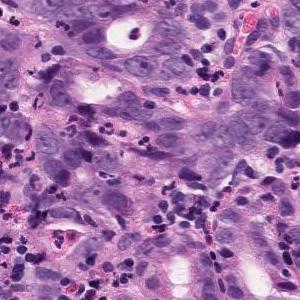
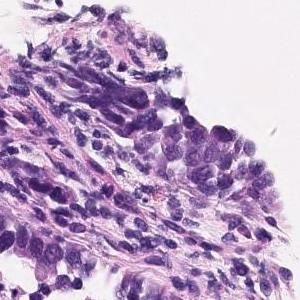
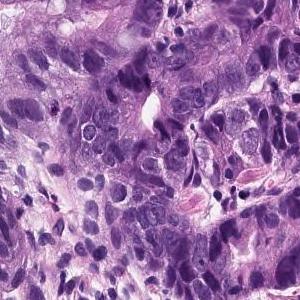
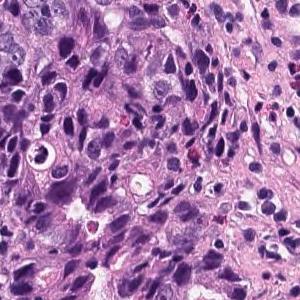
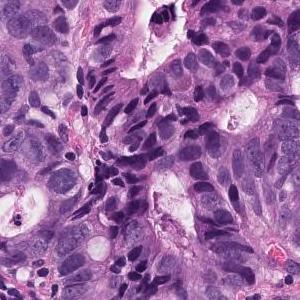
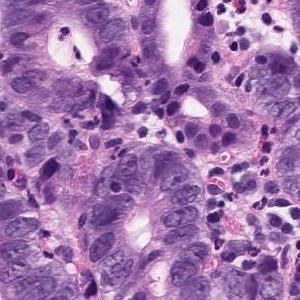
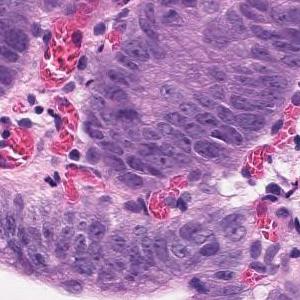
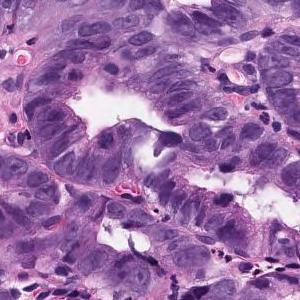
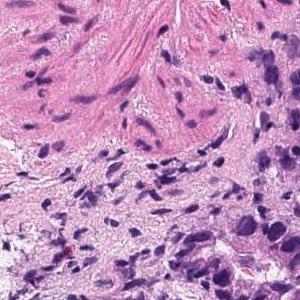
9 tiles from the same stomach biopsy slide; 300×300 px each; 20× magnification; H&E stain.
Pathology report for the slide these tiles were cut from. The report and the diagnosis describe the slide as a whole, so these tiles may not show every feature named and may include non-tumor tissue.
The swollen atypical epithelium of the nucleus forms an irregular ductal structure and proliferates. moderately differentiated tubular adenocarcinoma
